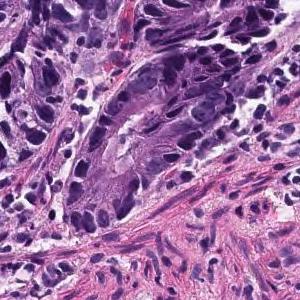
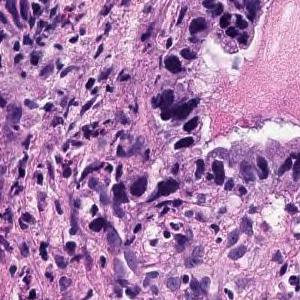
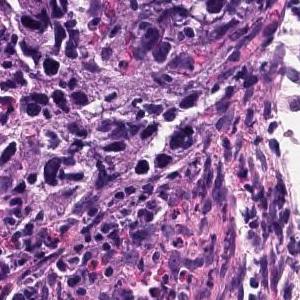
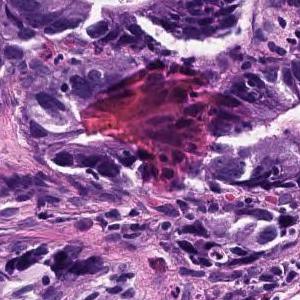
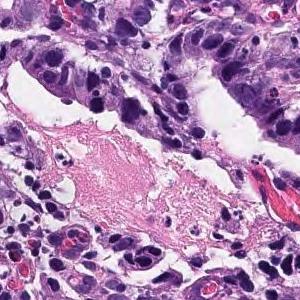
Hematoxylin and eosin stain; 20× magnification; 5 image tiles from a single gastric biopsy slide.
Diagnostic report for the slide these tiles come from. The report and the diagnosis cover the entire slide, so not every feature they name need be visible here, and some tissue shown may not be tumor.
In the superficial epithelium, tumor tissue that invades by forming medium-sized to small, irregular ducts is observed. Tumor cells are columnar or cuboidal in shape. Moderately differentiated adenocarcinoma.
Subtype: Moderately differentiated tubular adenocarcinoma.
